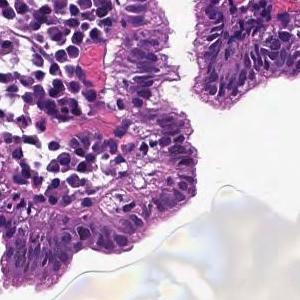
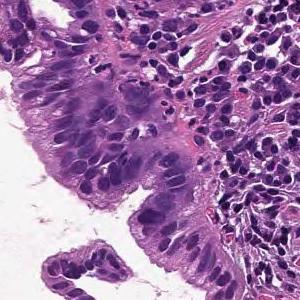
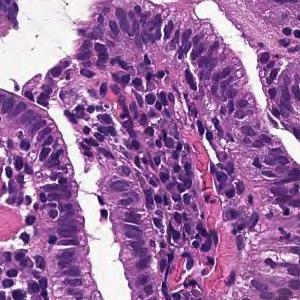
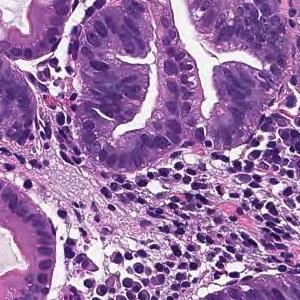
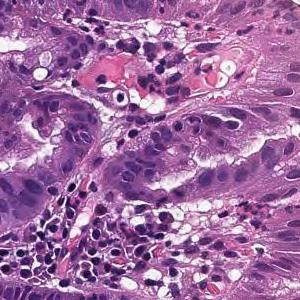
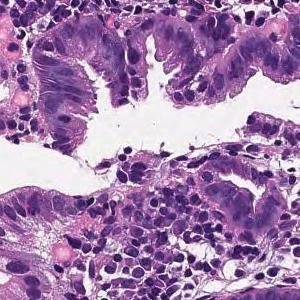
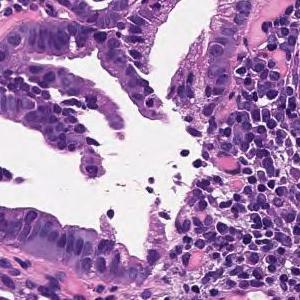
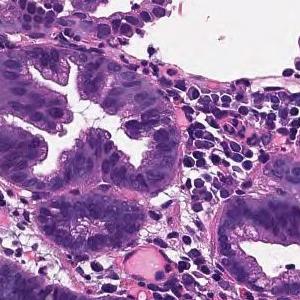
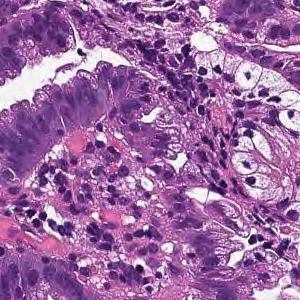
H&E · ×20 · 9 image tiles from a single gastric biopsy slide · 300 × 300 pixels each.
Pathology report for the slide these tiles were cut from. The report and the diagnosis describe the slide as a whole, so these tiles may not show every feature named and may include non-tumor tissue.
From the superficial epithelium to the muscularis mucosae, tumor tissue consisting of medium-sized and irregular glandular ducts infiltrating is observed. Well differentiated tubular adenocarcinoma
